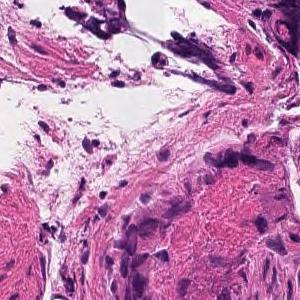
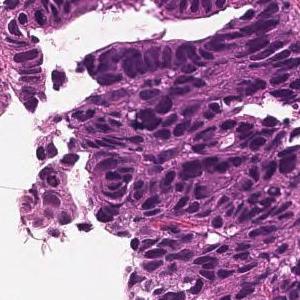
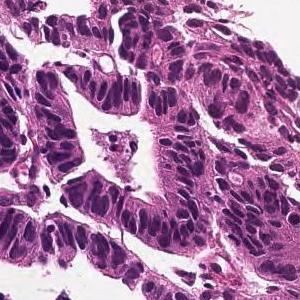
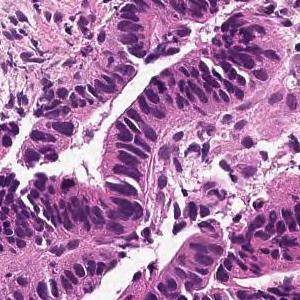
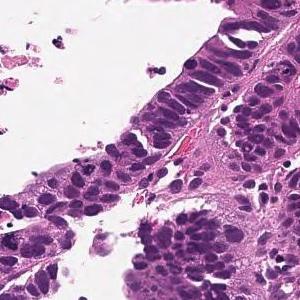
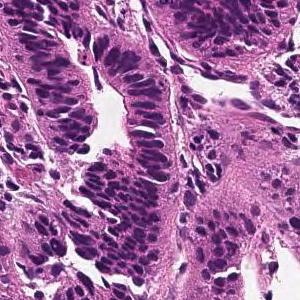
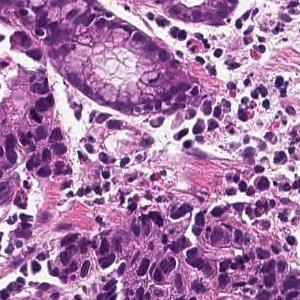
H&E, 7 tiles cut from one stomach biopsy slide, 300 × 300 pixels each.
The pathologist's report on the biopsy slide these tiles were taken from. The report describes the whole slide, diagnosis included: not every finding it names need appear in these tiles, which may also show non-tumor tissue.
From the superficial epithelium to the muscularis mucosae, tumor tissue consisting of medium-sized and irregular glandular ducts infiltrating is observed. Well differentiated tubular adenocarcinoma
